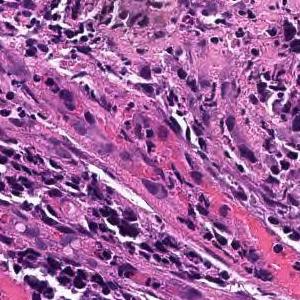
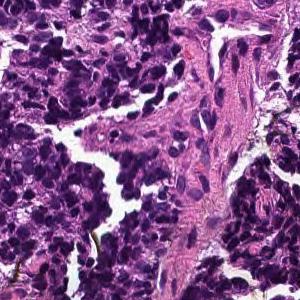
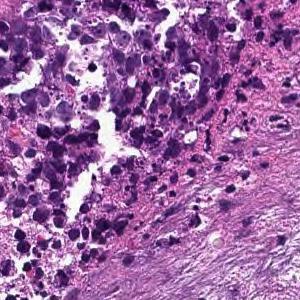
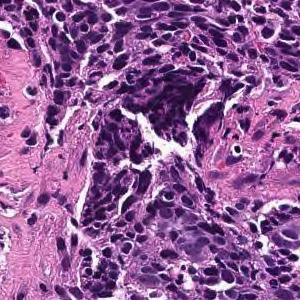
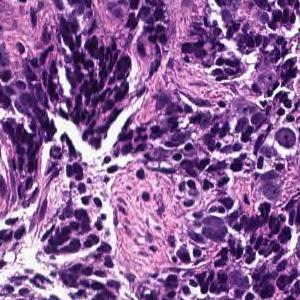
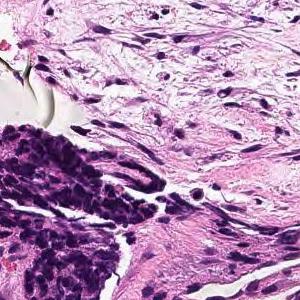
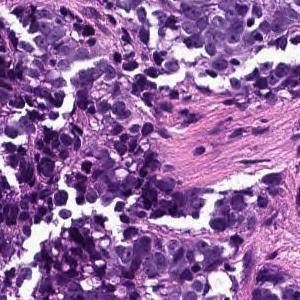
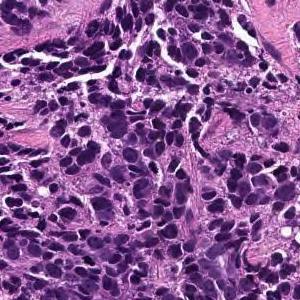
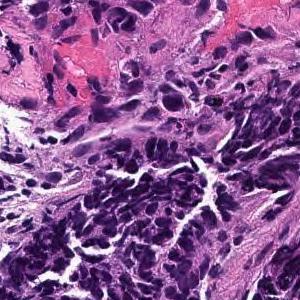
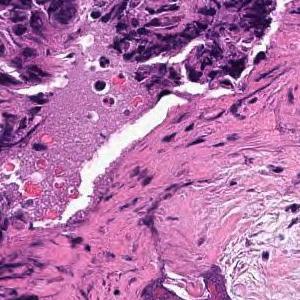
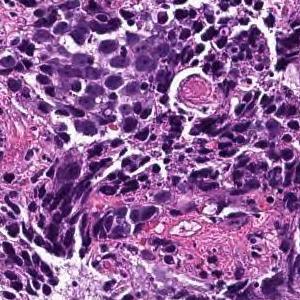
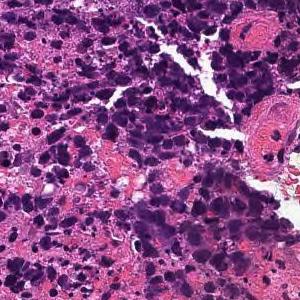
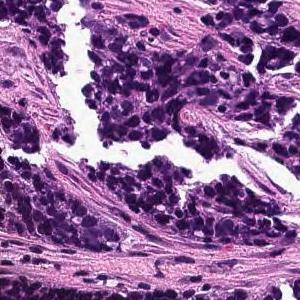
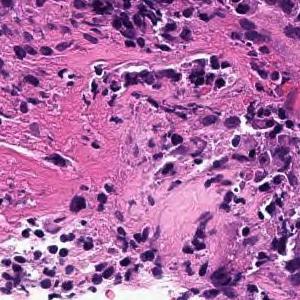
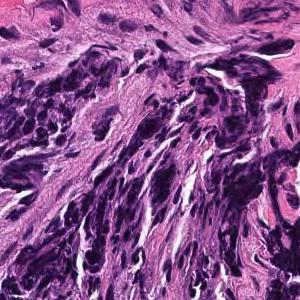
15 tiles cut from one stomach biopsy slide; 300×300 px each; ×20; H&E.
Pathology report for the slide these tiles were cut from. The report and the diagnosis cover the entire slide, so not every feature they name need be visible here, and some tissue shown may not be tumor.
The superficial epithelium shows a large sheet or alveolar shape, and tumor tissue infiltrating without irregular ducts is observed. Poorly differentiated adenocarcinoma, solid-type
Subtype: Poorly differentiated adenocarcinoma, solid type. This name comes from the Japanese Classification of Gastric Carcinoma; the WHO 2019 classification calls it tubular adenocarcinoma, poorly differentiated.
